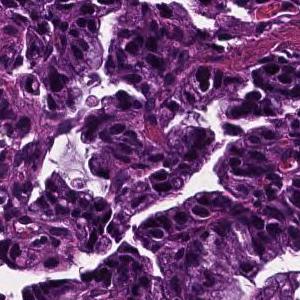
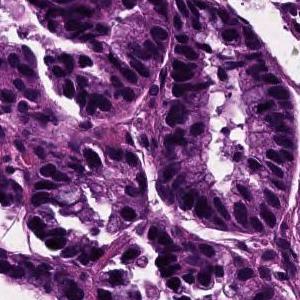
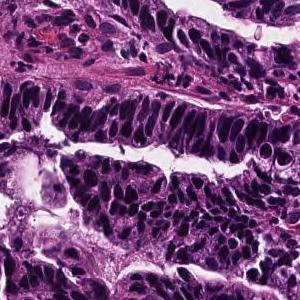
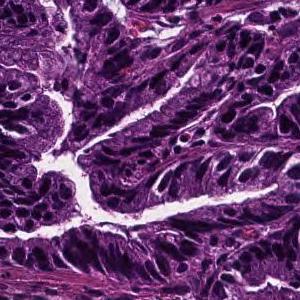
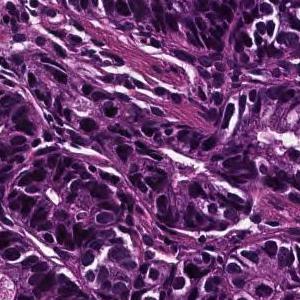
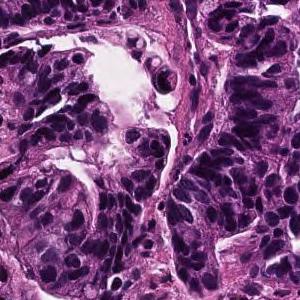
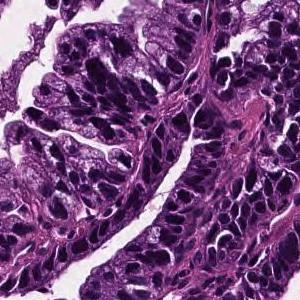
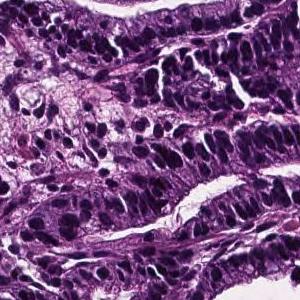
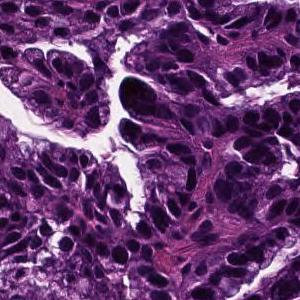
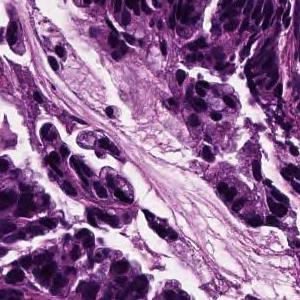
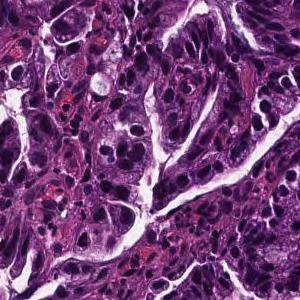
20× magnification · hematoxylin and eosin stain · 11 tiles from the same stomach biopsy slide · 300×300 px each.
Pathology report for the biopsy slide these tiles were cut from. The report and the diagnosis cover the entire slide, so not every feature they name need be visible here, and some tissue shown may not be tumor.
In the superficial epithelium, tumor tissue that invades by forming medium-sized to small, irregular ducts is observed. Well differentiated tubular adenocarcinoma.
